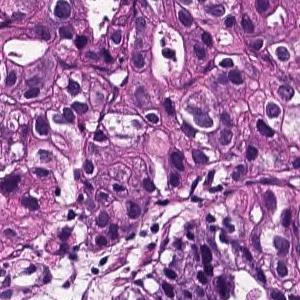
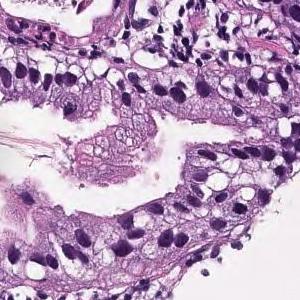
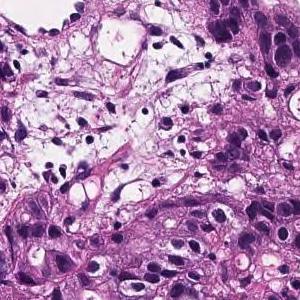
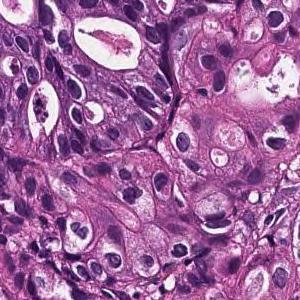
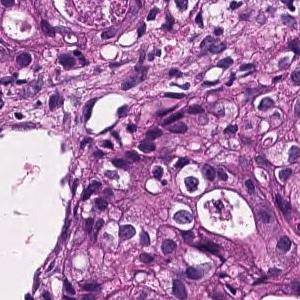
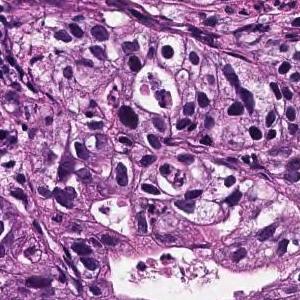
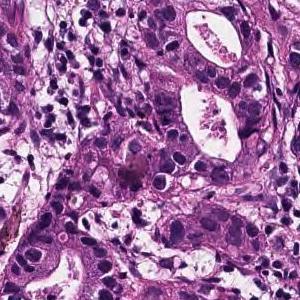
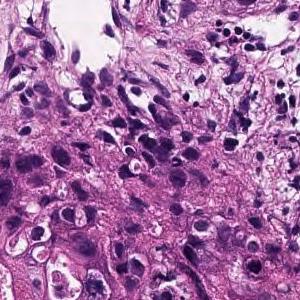
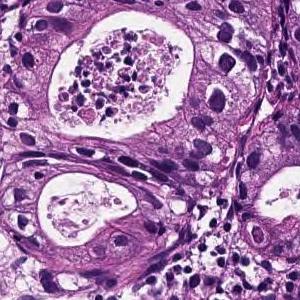
20× magnification · H&E · 9 tiles cut from one stomach biopsy slide.
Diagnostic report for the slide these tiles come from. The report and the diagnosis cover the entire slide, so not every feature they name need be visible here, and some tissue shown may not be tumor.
From the superficial epithelium to the muscularis mucosae, tumor tissue infiltrating by forming medium-sized irregular gland ducts is observed. Large tumor cells exhibit large nucleus and hyperchromatism. Well differentiated tubular adenocarcinoma
